H&E stain · scanned at ×20 · 5 tiles cut from one stomach biopsy slide.
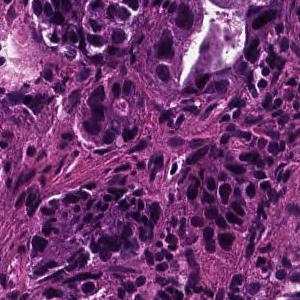
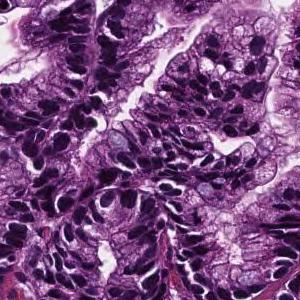
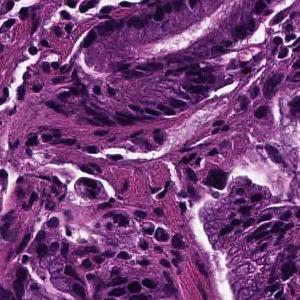
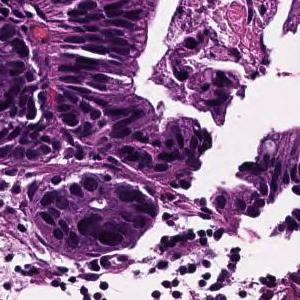
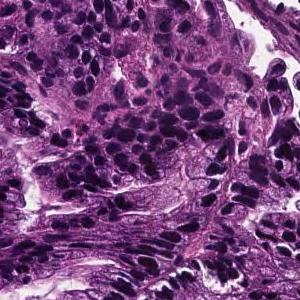
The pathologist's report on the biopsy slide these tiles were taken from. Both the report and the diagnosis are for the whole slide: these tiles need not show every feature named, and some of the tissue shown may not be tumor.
In the superficial epithelium, tumor tissue that invades by forming medium-sized to small, irregular ducts is observed. Well differentiated tubular adenocarcinoma.
